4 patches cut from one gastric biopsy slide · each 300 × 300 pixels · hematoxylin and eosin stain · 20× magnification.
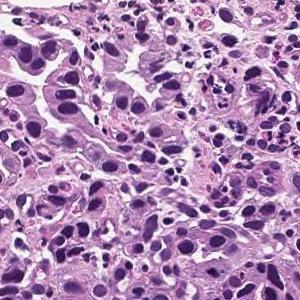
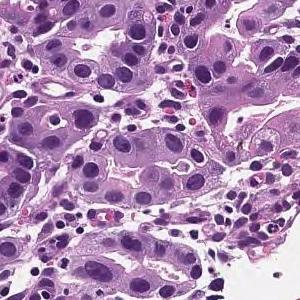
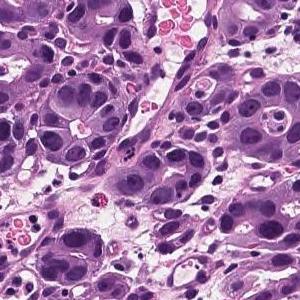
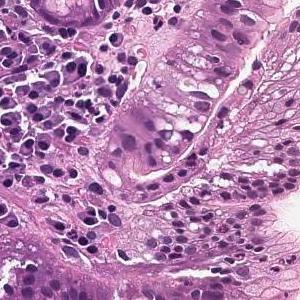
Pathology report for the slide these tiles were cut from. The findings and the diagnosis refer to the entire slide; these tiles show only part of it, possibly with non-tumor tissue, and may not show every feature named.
The superficial epithelium shows a large sheet or alveolar shape, and tumor tissue infiltrating without irregular ducts is observed. Poorly differentiated adenocarcinoma, solid-type
Classified as poorly differentiated adenocarcinoma, solid type. This name comes from the Japanese Classification of Gastric Carcinoma; the WHO 2019 classification calls it tubular adenocarcinoma, poorly differentiated.
